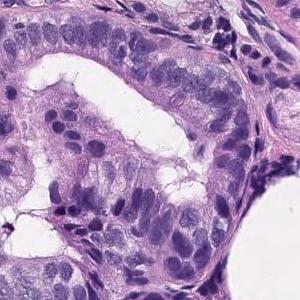
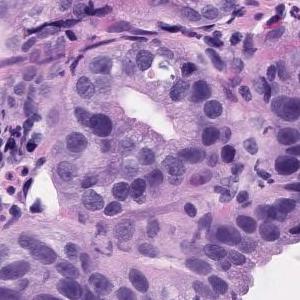
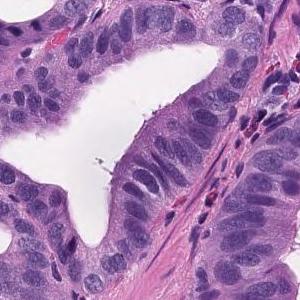
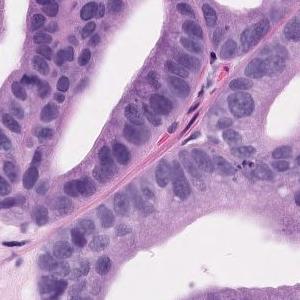
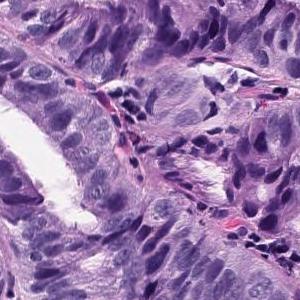
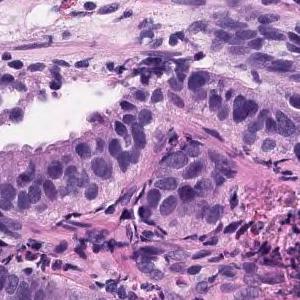
6 patches cut from one gastric biopsy slide, 300 × 300 pixels each, H&E, ×20.
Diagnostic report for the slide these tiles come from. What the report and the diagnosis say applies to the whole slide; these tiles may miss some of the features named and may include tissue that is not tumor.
Tumor tissue consisting of medium-sized and irregular ducts is observed infiltrating in the superficial epithelium. Tumor cells are highly columnar, with nuclei aligned basolaterally and polarized. Well differentiated tubular adenocarcinoma.
